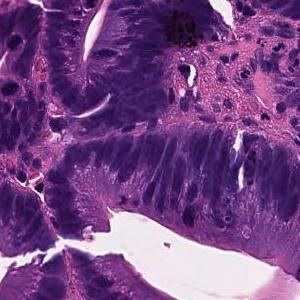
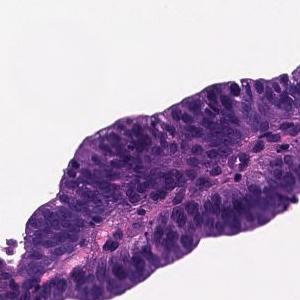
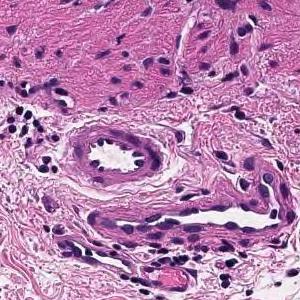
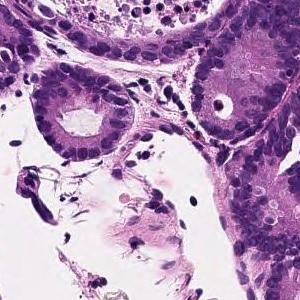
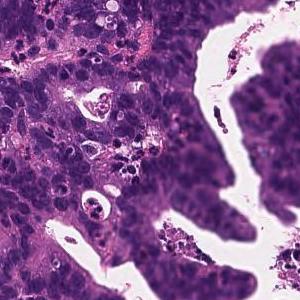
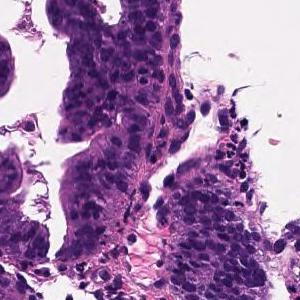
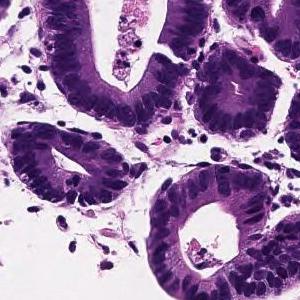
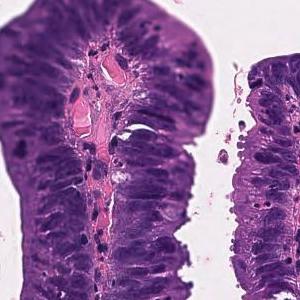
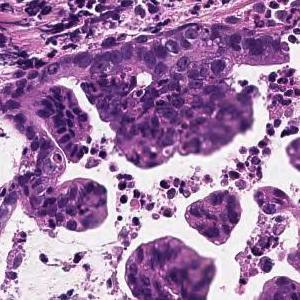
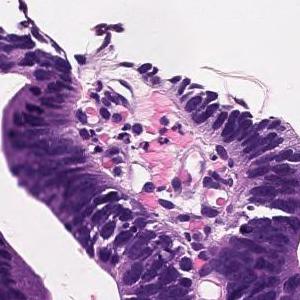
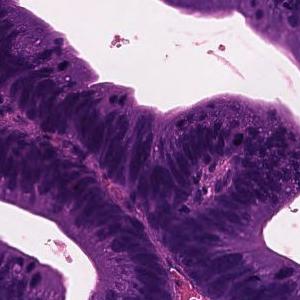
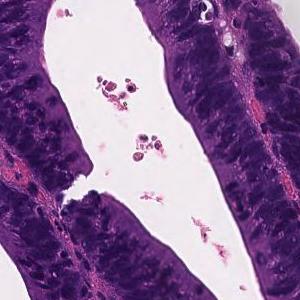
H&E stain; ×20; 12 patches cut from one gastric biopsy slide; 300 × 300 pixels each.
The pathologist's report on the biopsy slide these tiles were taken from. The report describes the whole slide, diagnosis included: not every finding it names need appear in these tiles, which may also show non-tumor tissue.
Tumor tissue consisting of large papillary structures is found in the superficial epithelium. Papillary adenocarcinoma.
